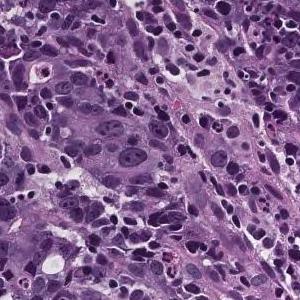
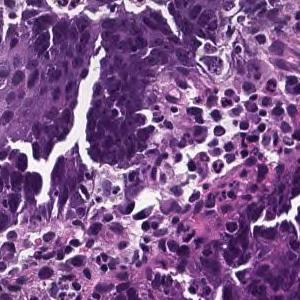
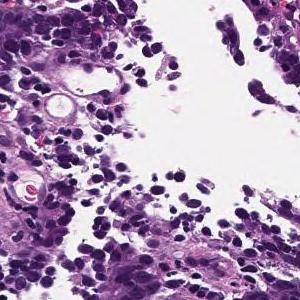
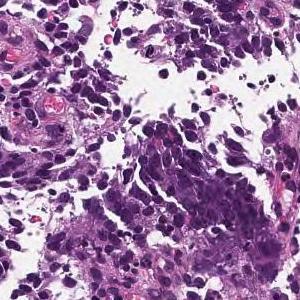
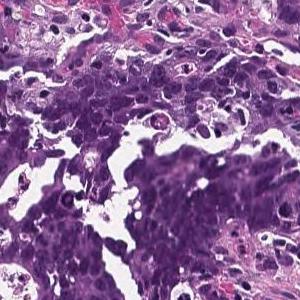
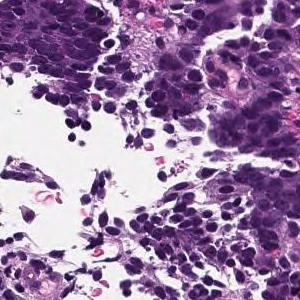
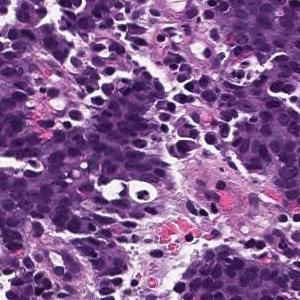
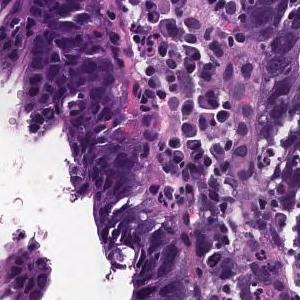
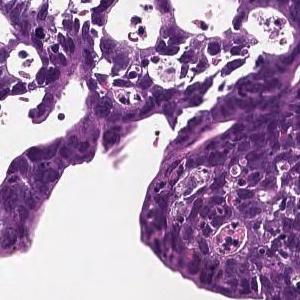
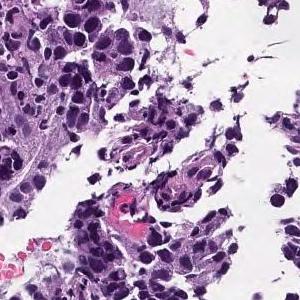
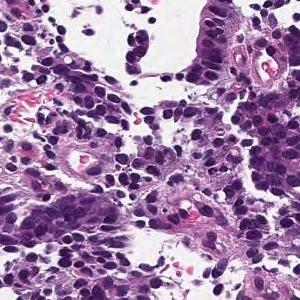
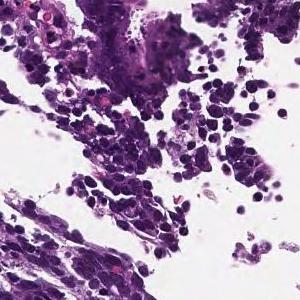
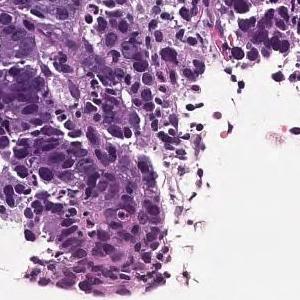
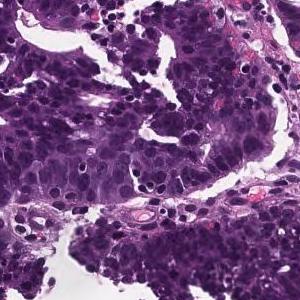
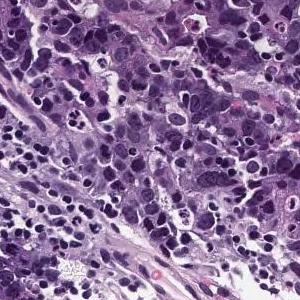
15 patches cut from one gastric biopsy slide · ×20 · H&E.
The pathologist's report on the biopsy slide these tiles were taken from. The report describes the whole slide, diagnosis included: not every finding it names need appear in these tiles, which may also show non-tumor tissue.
On the superficial epithelium, tumor tissue is found in which medium-sized irregular gland ducts fuse with each other and infiltrate. moderately differentiated tubular adenocarcinoma
